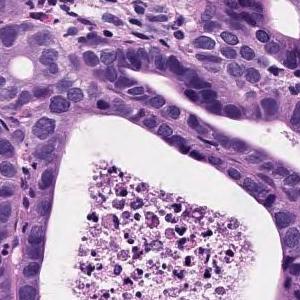
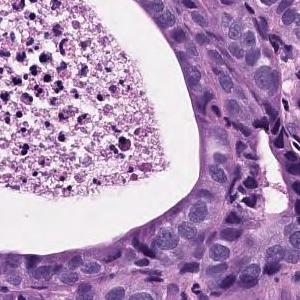
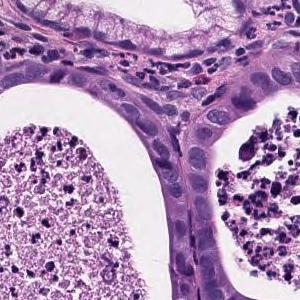
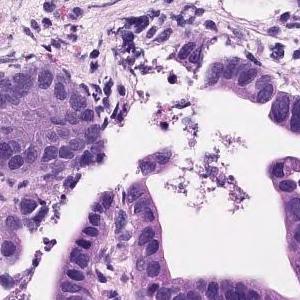
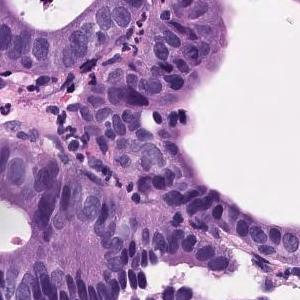
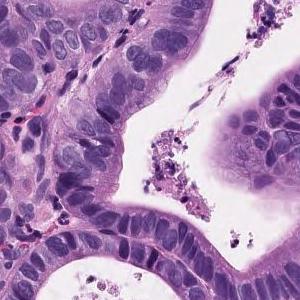
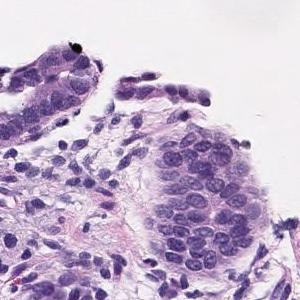
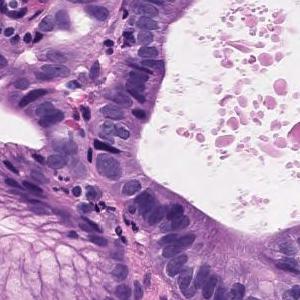
8 tiles cut from one stomach biopsy slide · 300×300 px each · hematoxylin and eosin stain · ×20.
The pathologist's report on the biopsy slide these tiles were taken from. The report and the diagnosis cover the entire slide, so not every feature they name need be visible here, and some tissue shown may not be tumor.
Tumor tissue consisting of proliferative medium to large, round or irregular glandular ducts in the superficial epithelium. Well differentiated adenocarcinoma.
Histologic type: Well differentiated tubular adenocarcinoma.
